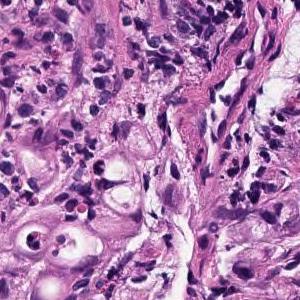
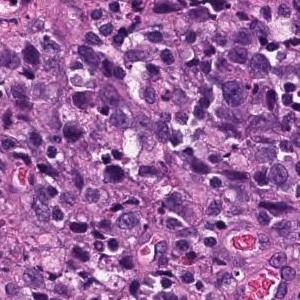
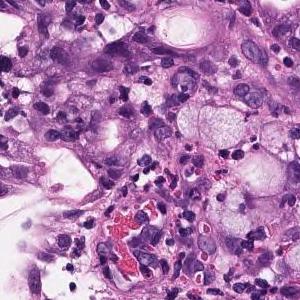
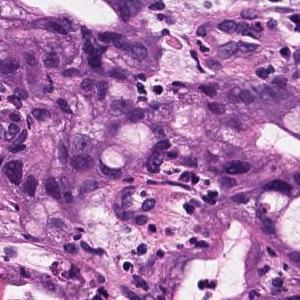
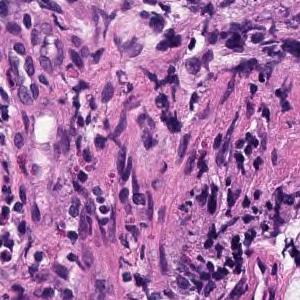
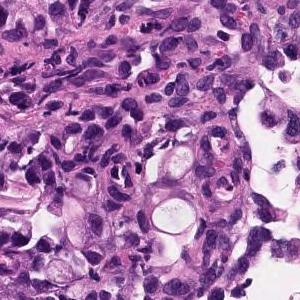
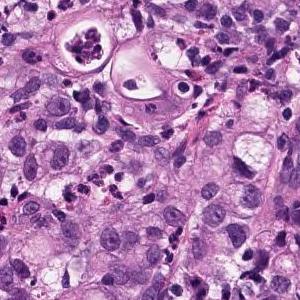
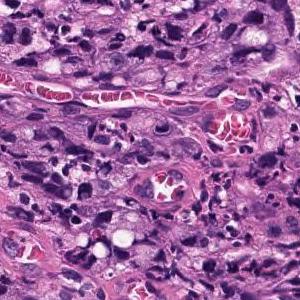
8 patches cut from one gastric biopsy slide · each 300 × 300 pixels · scanned at ×20 · H&E.
Report on the slide these tiles come from. The report and the diagnosis describe the slide as a whole, so these tiles may not show every feature named and may include non-tumor tissue.
Atypical epithelium forms irregularly fused gland ducts and proliferates. Poorly differentiated adenocarcinoma.
Classified as poorly differentiated adenocarcinoma, non-solid type.
The non-solid type named here is a Japanese Classification of Gastric Carcinoma category.
